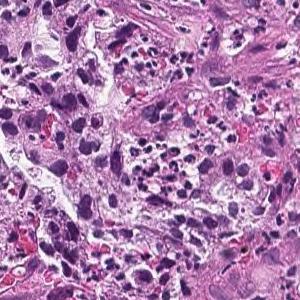
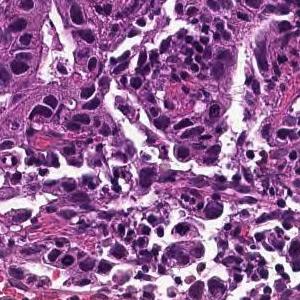
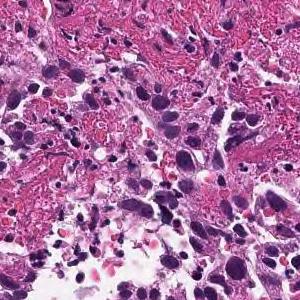
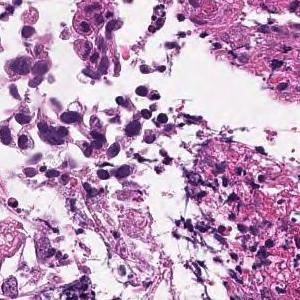
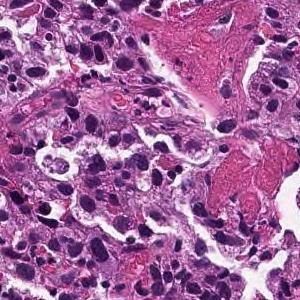
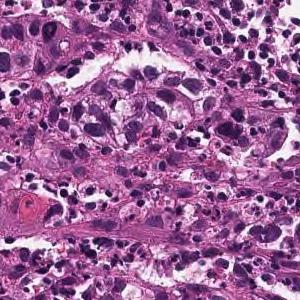
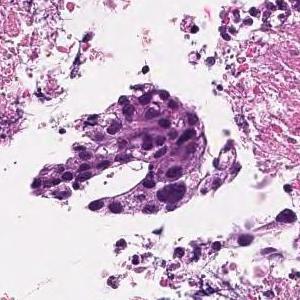
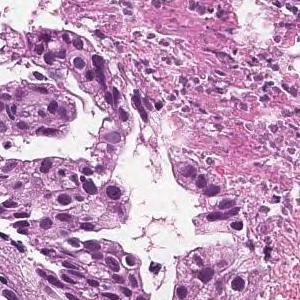
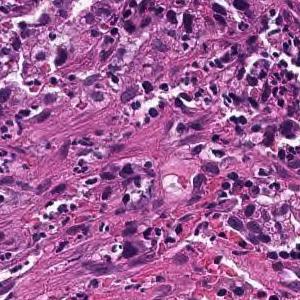
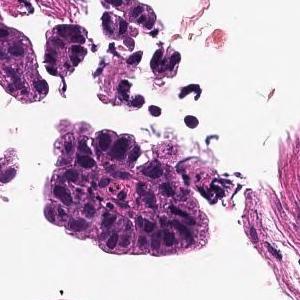
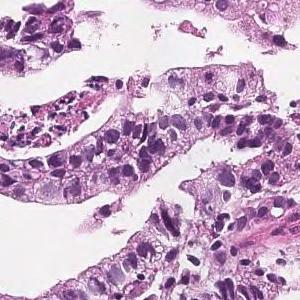
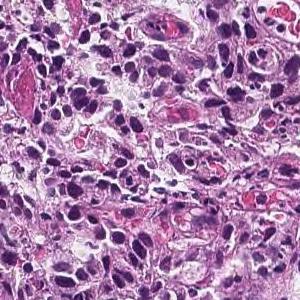
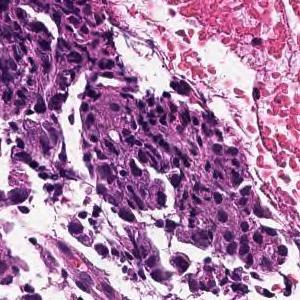
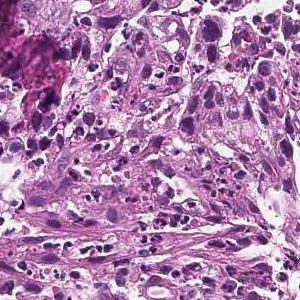
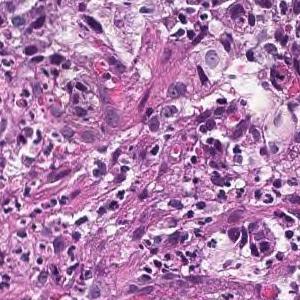
15 tiles cut from one stomach biopsy slide · 300×300 px each.
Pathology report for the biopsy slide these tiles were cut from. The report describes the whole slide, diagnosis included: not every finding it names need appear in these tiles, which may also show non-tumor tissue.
Tumor tissue consisting of medium-sized, cord-like or irregular glandular infiltration is observed in the superficial epithelium. Poorly differentiated adenocarcinoma, non-solid type or moderately differentiated tubular adenocarcinoma
Histological subtype: Moderately to poorly differentiated adenocarcinoma.
"Non-solid type" is a category of the Japanese Classification of Gastric Carcinoma.
